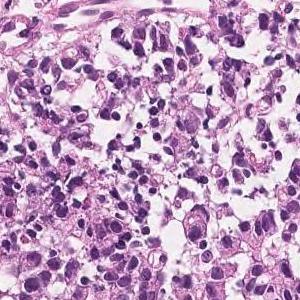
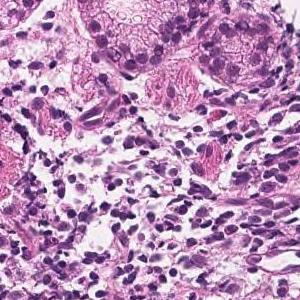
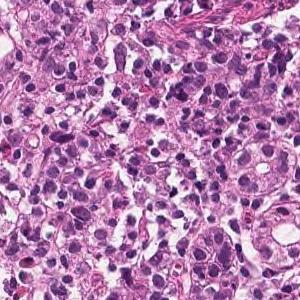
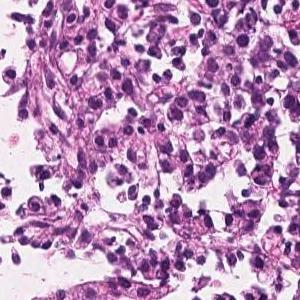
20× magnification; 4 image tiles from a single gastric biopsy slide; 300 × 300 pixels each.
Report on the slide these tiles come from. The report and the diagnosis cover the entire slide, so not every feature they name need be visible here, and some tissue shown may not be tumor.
Tumor tissue consisting of cord-like or small, irregular glandular ducts fused and infiltrated is observed in the superficial epithelium. Poorly differentiated adenocarcinoma, non-solid type
The term "non-solid type" comes from the Japanese Classification of Gastric Carcinoma.
